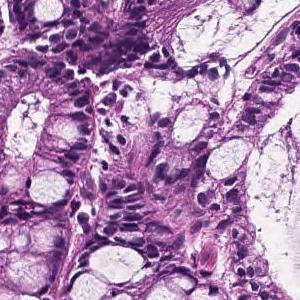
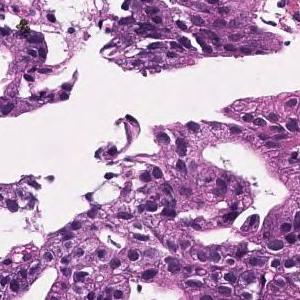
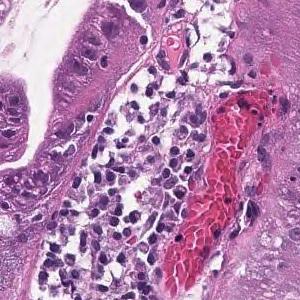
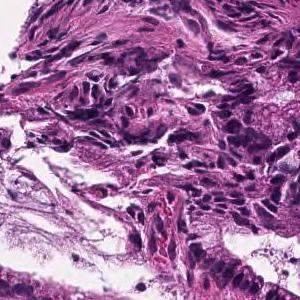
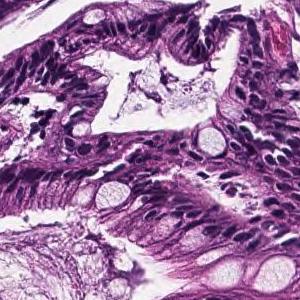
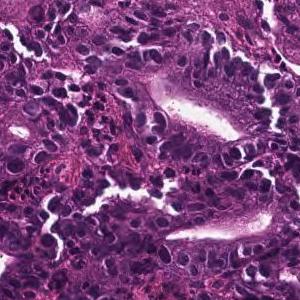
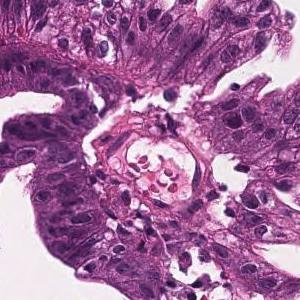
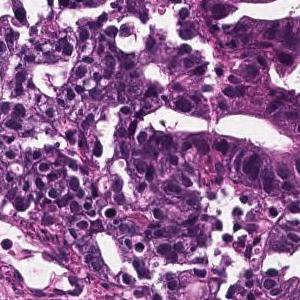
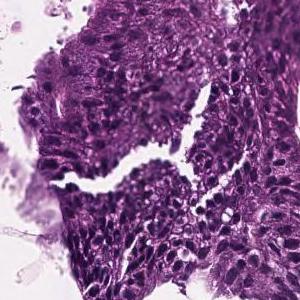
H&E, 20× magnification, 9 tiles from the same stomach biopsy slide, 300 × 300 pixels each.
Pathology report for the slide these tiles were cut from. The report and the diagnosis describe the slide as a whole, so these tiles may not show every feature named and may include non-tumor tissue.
In the superficial epithelium, tumor tissue that invades by forming medium-sized to small, irregular ducts is observed. Well differentiated tubular adenocarcinoma.
